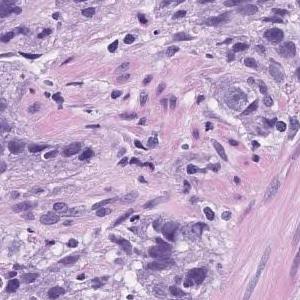
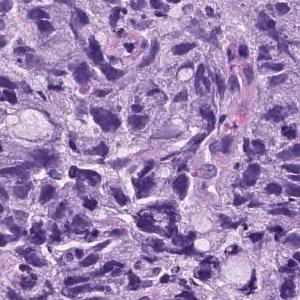
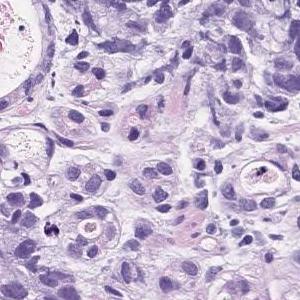
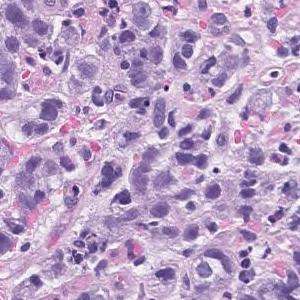
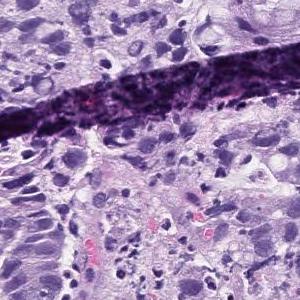
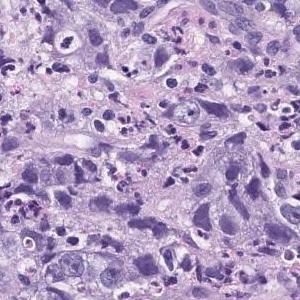
Hematoxylin and eosin stain; scanned at ×20; 6 tiles cut from one stomach biopsy slide.
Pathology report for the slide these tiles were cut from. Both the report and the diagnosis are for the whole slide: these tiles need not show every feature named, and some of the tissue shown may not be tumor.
Atypical l cells with atypical nuclei forming solid vesicles or small irregular atypical ducts that proliferate in a complex manner. poorly differentiated adenocarcinoma, solid type, moderately differentiated tubular adenocarcinoma
The term "solid type" comes from the Japanese Classification of Gastric Carcinoma; the WHO 2019 equivalent is tubular adenocarcinoma, poorly differentiated.
